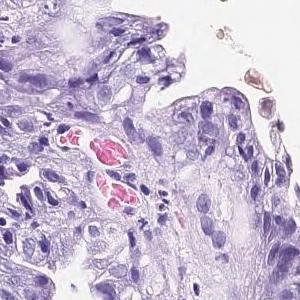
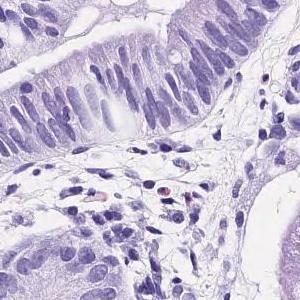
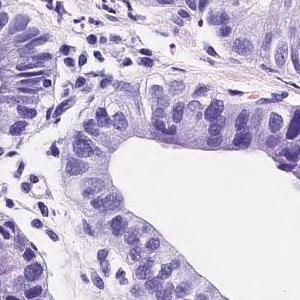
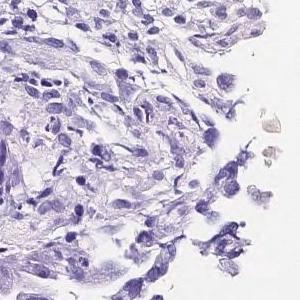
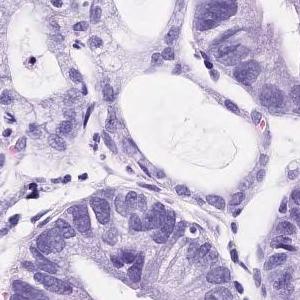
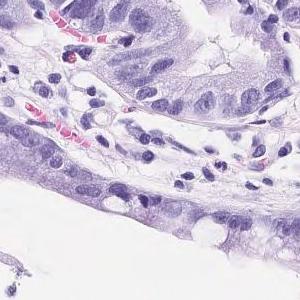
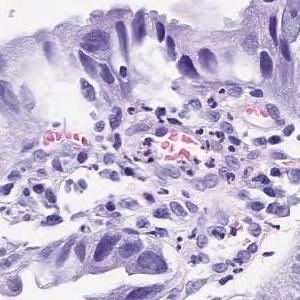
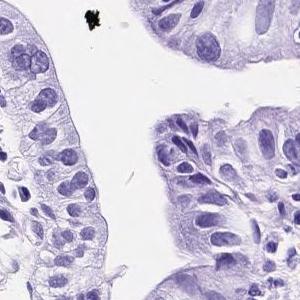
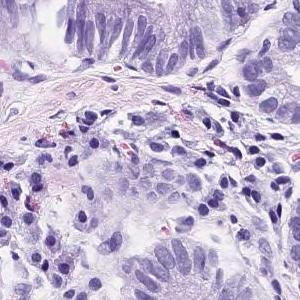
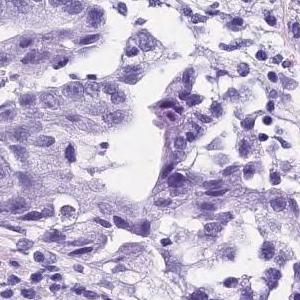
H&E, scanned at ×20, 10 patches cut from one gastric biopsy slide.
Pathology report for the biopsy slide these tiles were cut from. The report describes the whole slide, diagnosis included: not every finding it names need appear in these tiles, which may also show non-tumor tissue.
Tumor tissue consisting of medium-sized and irregular ducts is observed infiltrating in the superficial epithelium. Tumor cells are highly columnar, with nuclei aligned basolaterally and polarized. Well differentiated tubular adenocarcinoma.
